Scanned at ×20 · 7 tiles cut from one stomach biopsy slide.
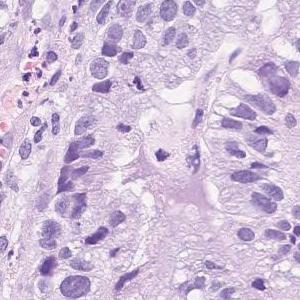
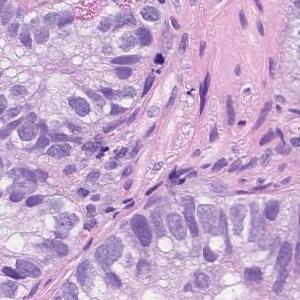
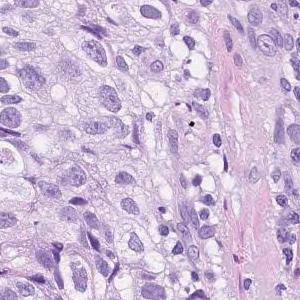
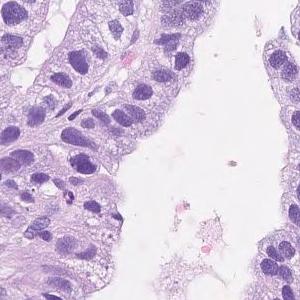
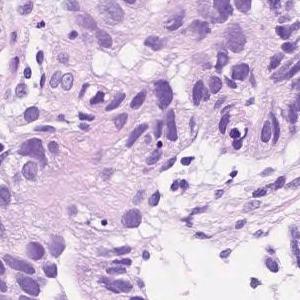
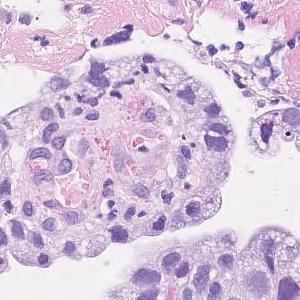
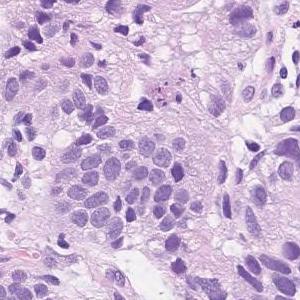
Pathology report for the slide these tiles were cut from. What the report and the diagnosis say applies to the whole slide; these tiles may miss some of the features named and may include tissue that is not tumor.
Atypical l cells with atypical nuclei forming solid or diffuse vesicles or small irregular atypical ducts and growing in a complex manner. moderately differentiated tubular adenocarcinoma
